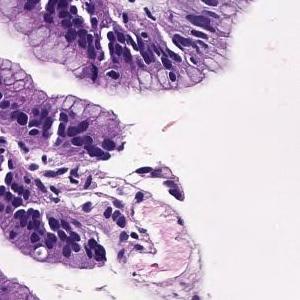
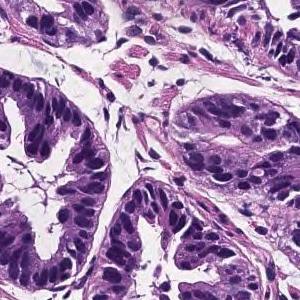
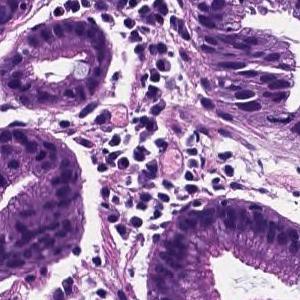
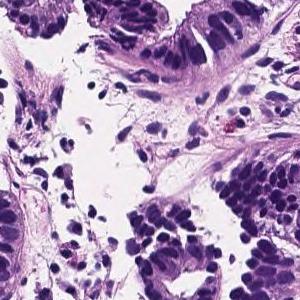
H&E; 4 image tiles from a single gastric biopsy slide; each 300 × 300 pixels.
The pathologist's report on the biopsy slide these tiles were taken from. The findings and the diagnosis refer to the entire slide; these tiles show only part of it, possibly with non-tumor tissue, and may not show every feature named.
Tumor cells are large, highly columnar, large club-shaped nuclei, and are associated with chromatin aggregation. Papillary adenocarcinoma.
